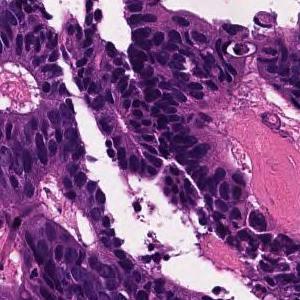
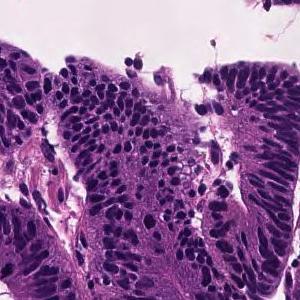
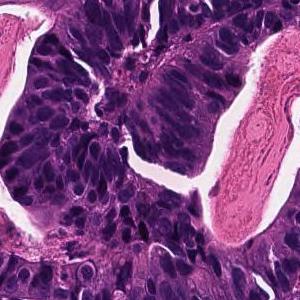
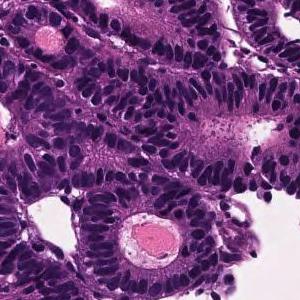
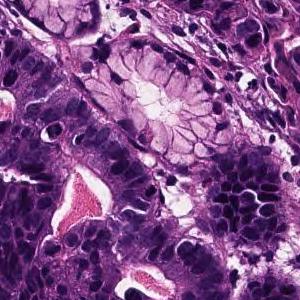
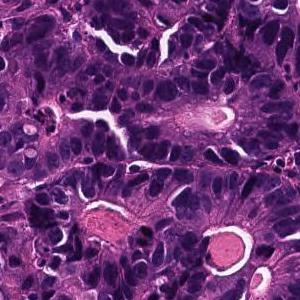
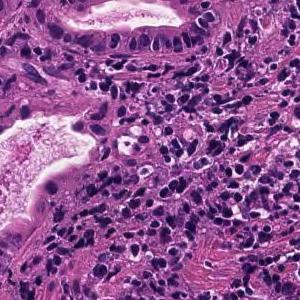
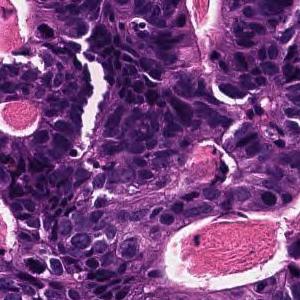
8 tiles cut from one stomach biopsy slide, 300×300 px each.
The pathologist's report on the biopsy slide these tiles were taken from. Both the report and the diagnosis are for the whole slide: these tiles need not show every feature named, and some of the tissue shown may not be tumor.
In the superficial epithelium, tumor tissue that invades by forming medium-sized to small, irregular ducts is observed. moderately differentiated tubular adenocarcinoma.
